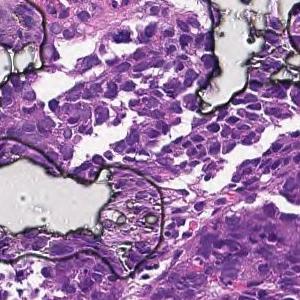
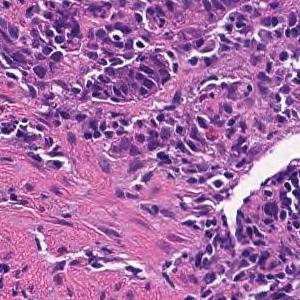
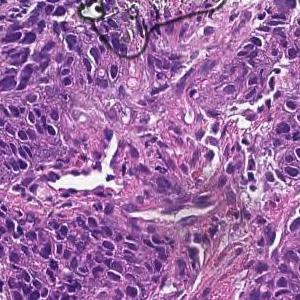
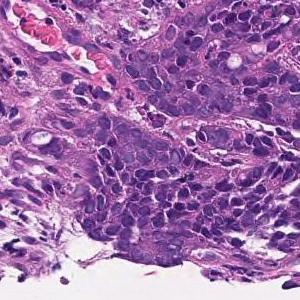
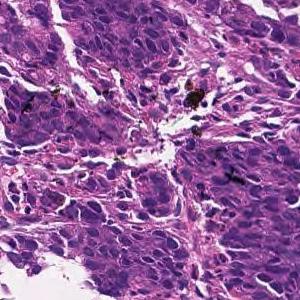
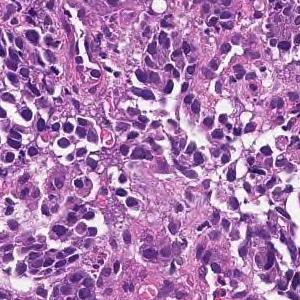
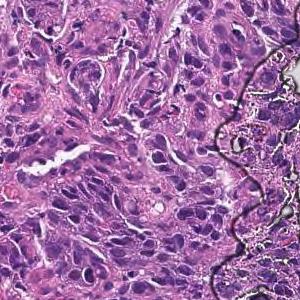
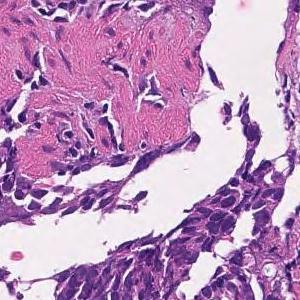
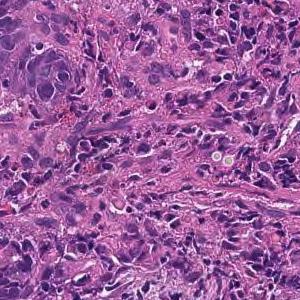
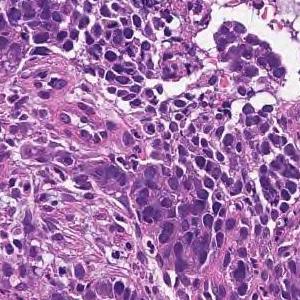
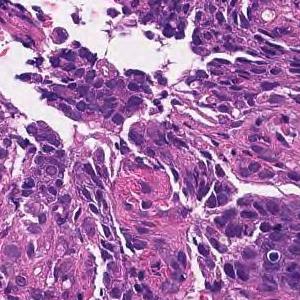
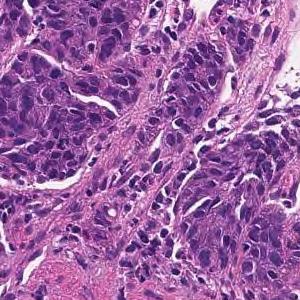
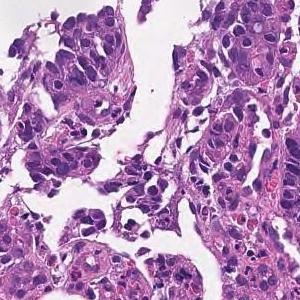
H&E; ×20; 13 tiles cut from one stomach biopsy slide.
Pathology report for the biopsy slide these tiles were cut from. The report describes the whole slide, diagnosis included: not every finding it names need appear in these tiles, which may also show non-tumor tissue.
Tumor tissue consisting of cord-like or small, irregular glandular ducts fused and infiltrated is observed in the superficial epithelium. Poorly differentiated adenocarcinoma, non-solid type
The non-solid type named here is a Japanese Classification of Gastric Carcinoma category.
